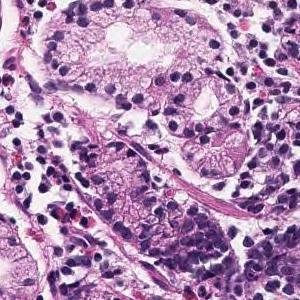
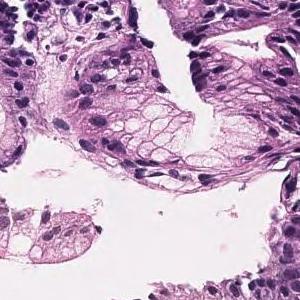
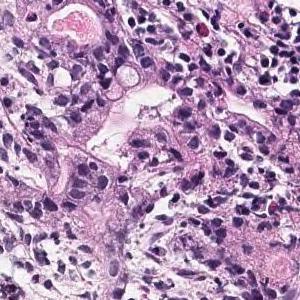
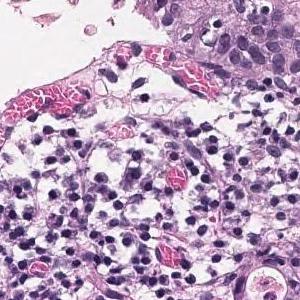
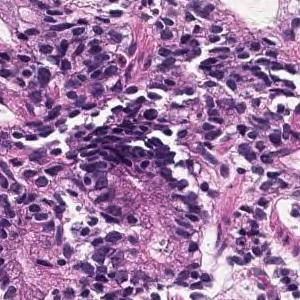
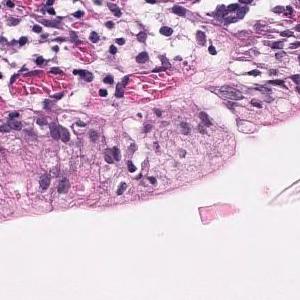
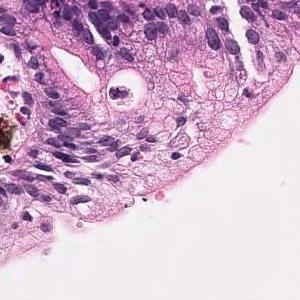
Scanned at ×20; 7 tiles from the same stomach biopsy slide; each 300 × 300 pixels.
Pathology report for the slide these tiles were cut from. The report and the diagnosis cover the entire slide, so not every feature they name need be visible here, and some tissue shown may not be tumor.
Tumor tissue that grows and grows is observed, showing a medium-sized round or irregular duct. moderately differentiated tubular adenocarcinoma
